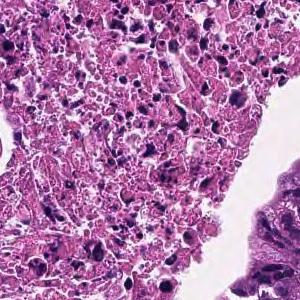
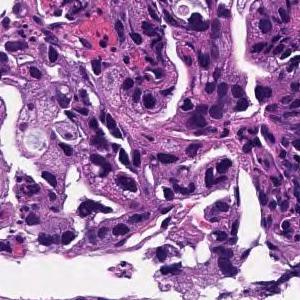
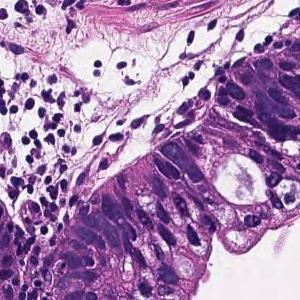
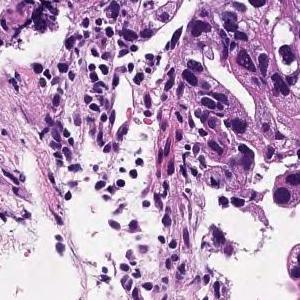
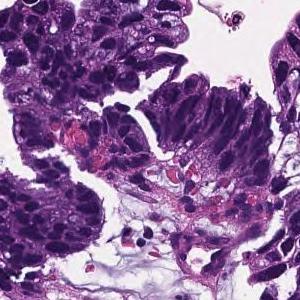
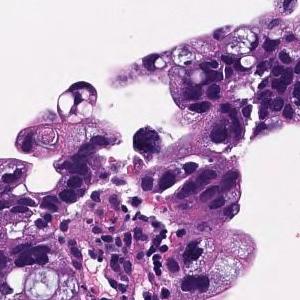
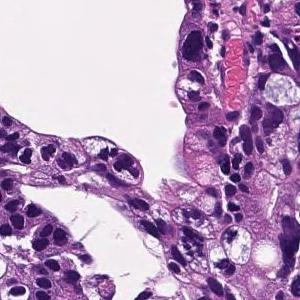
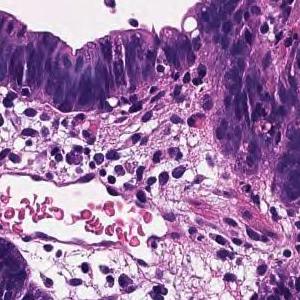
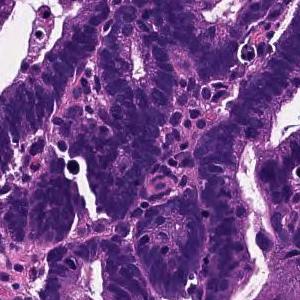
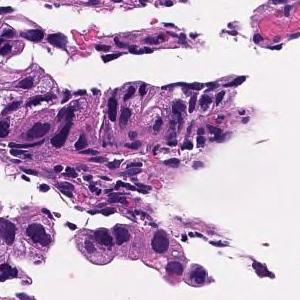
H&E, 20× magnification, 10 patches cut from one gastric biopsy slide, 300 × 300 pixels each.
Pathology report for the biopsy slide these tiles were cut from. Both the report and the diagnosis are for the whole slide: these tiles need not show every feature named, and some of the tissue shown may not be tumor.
In the superficial epithelium, tumor tissue that invades by forming medium-sized to small, irregular ducts is observed. moderately differentiated tubular adenocarcinoma.
